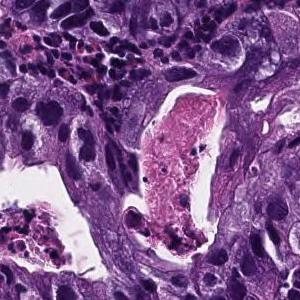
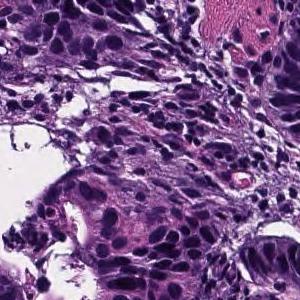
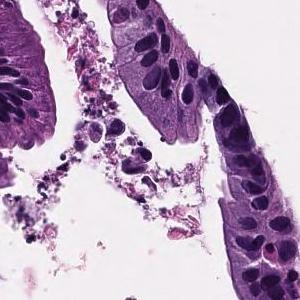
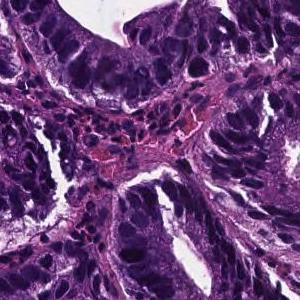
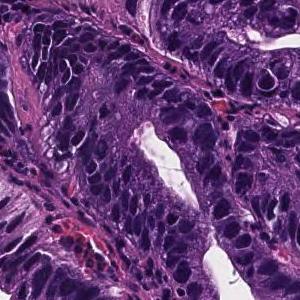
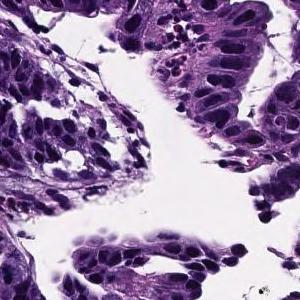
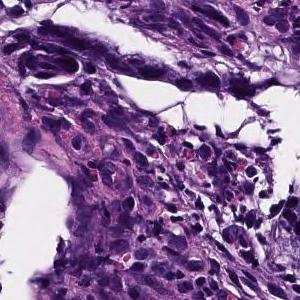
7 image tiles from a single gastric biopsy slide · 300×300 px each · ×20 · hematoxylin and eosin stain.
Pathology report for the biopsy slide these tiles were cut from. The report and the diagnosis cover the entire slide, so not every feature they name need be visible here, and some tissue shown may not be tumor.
In the superficial epithelium, tumor tissue that invades by forming medium-sized to small, irregular ducts is observed. Moderately differentiated adenocarcinoma.
Histological subtype: Moderately differentiated tubular adenocarcinoma.
